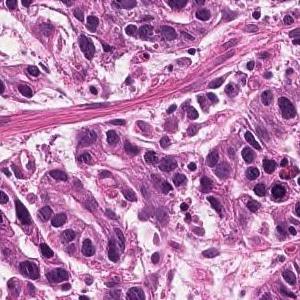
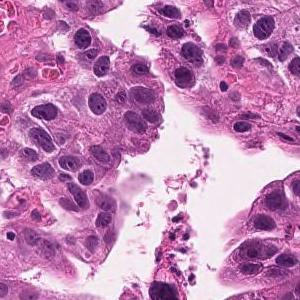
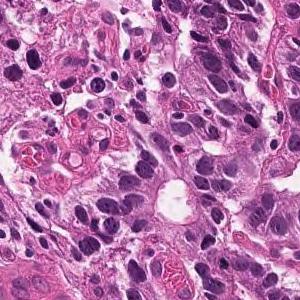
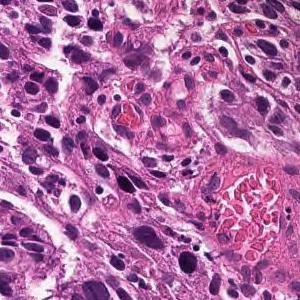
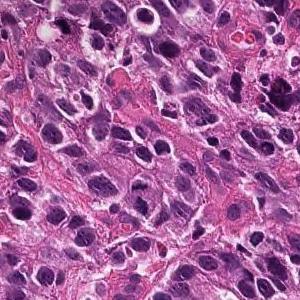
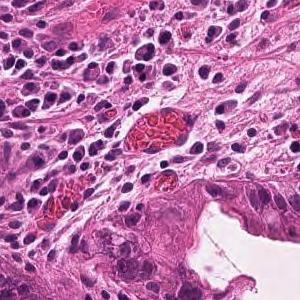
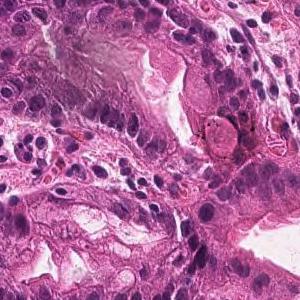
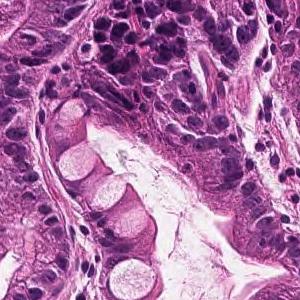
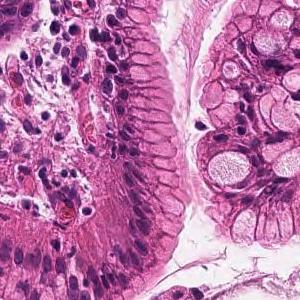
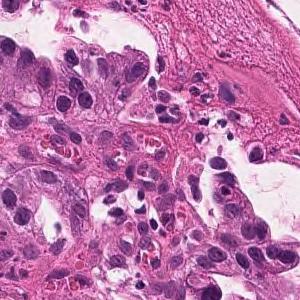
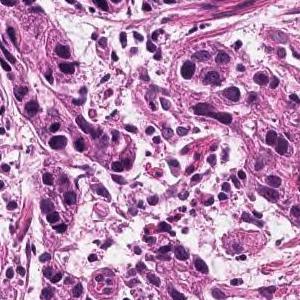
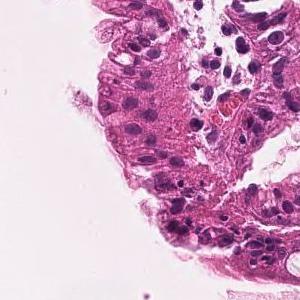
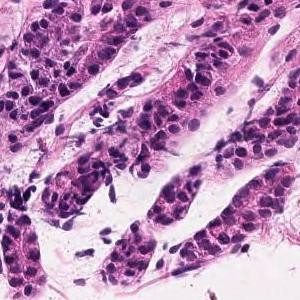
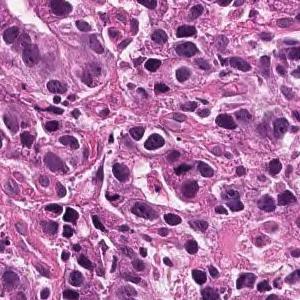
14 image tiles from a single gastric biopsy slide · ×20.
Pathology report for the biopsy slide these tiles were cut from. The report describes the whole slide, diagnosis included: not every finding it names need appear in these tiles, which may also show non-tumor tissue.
Tumor tissue consisting of medium-sized, cord-like or irregular glandular infiltration is observed in the superficial epithelium. Poorly differentiated adenocarcinoma, non-solid type or moderately differentiated tubular adenocarcinoma
Histologic type: Moderately to poorly differentiated adenocarcinoma.
"Non-solid type" is a category of the Japanese Classification of Gastric Carcinoma.
